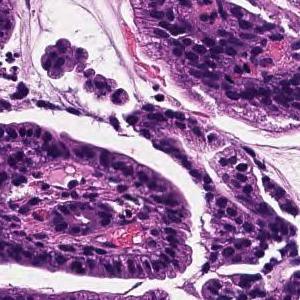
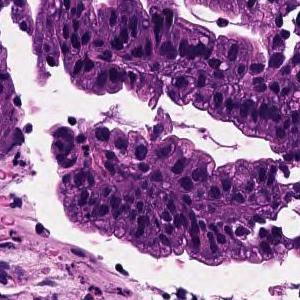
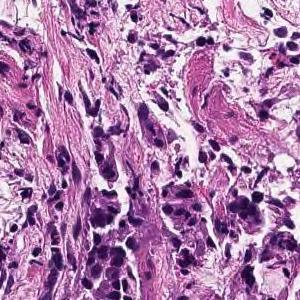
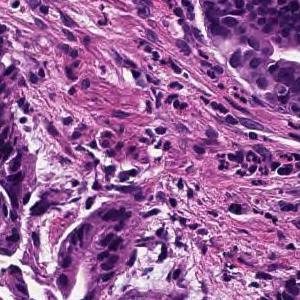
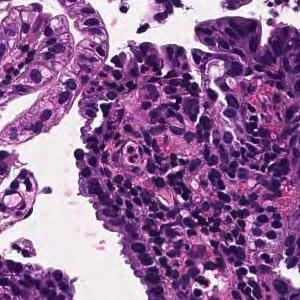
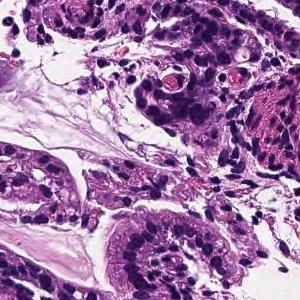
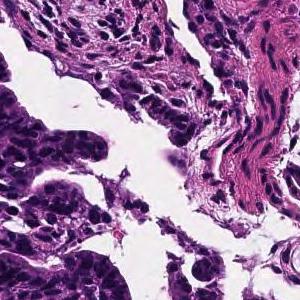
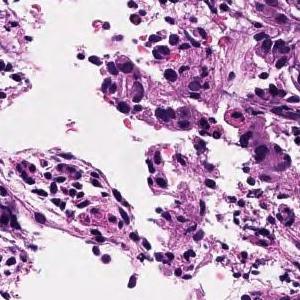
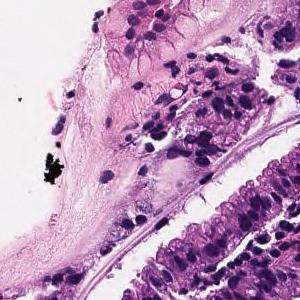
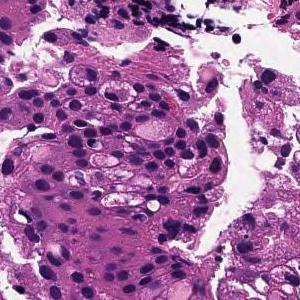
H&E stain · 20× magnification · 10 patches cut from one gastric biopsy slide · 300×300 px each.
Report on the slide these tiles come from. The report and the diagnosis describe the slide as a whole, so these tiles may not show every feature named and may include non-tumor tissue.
On the superficial epithelium, tumor tissue that infiltrates by forming medium-sized papillary or small irregular ducts is observed. Papillary adenocarcinoma
